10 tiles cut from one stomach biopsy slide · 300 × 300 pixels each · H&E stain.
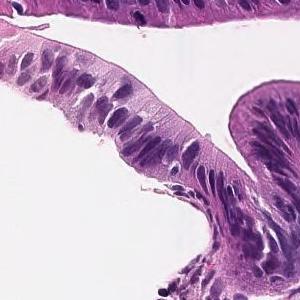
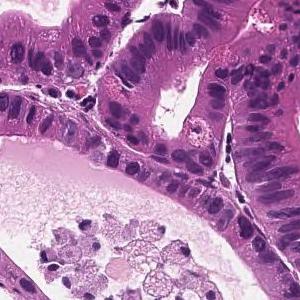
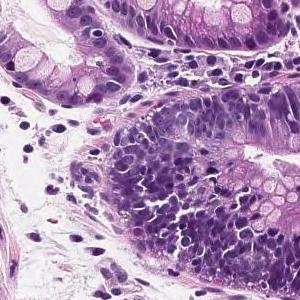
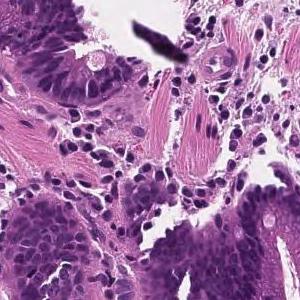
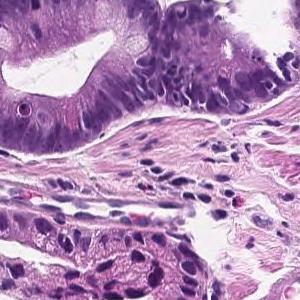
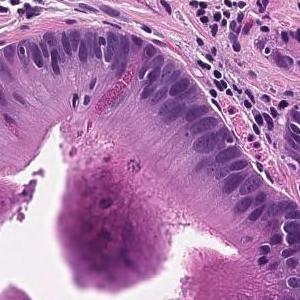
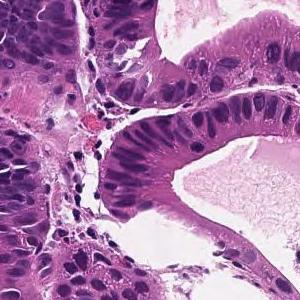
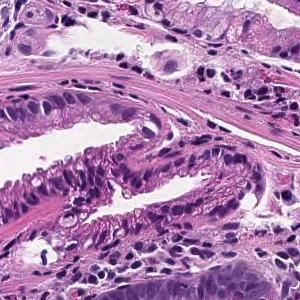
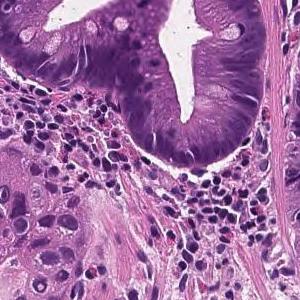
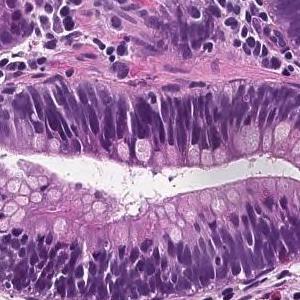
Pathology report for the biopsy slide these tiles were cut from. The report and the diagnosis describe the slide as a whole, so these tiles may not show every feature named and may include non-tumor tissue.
From the superficial epithelium to the muscularis mucosae, tumor tissue consisting of medium-sized and irregular glandular ducts infiltrating is observed. Well differentiated tubular adenocarcinoma
